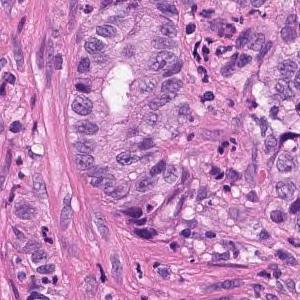
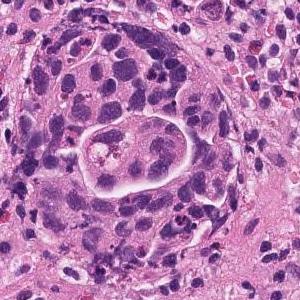
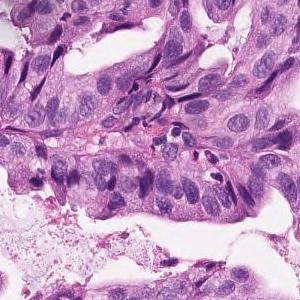
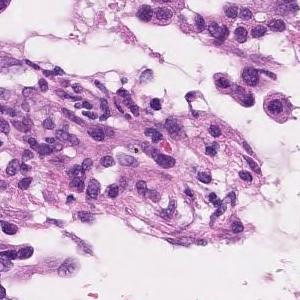
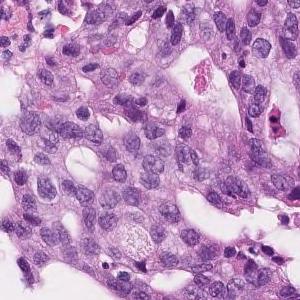
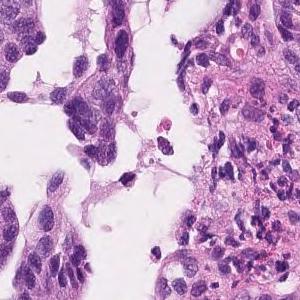
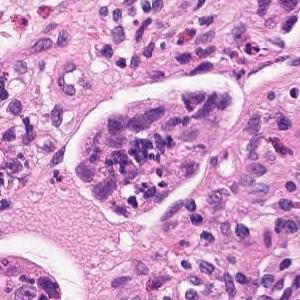
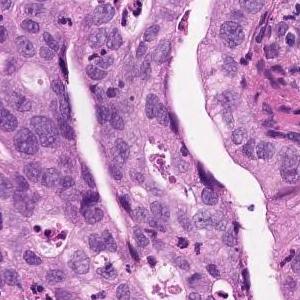
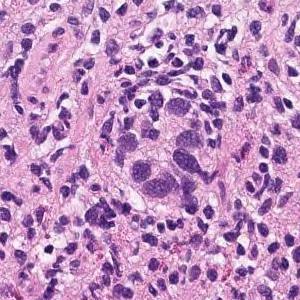
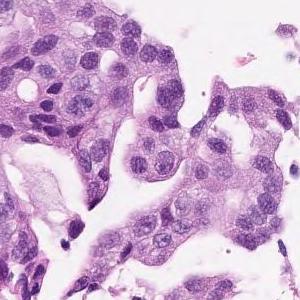
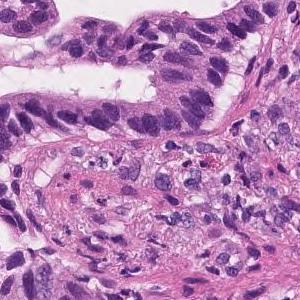
11 tiles cut from one stomach biopsy slide, each 300 × 300 pixels, hematoxylin and eosin stain, 20× magnification.
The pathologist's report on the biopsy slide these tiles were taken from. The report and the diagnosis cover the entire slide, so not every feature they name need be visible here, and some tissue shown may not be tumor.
Atypical epithelium forming papillary or sieving ducts and infiltrating growth is observed. Papillary adenocarcinoma.
